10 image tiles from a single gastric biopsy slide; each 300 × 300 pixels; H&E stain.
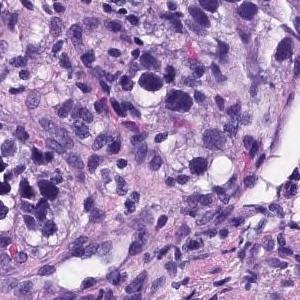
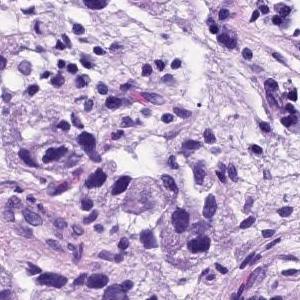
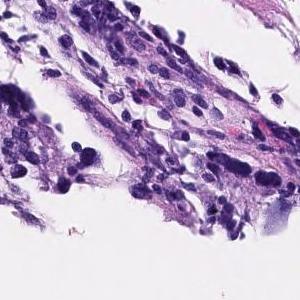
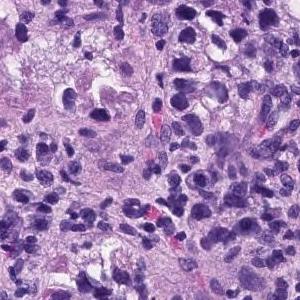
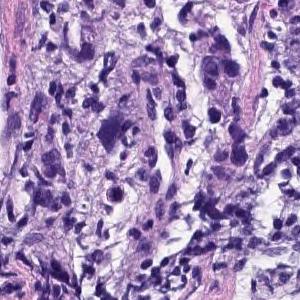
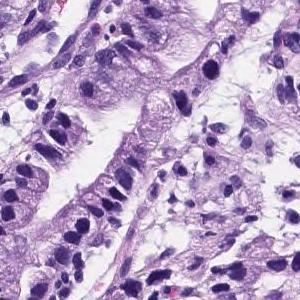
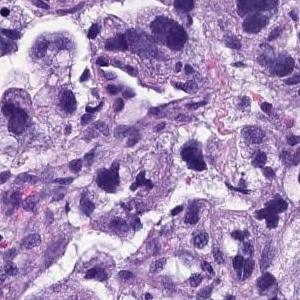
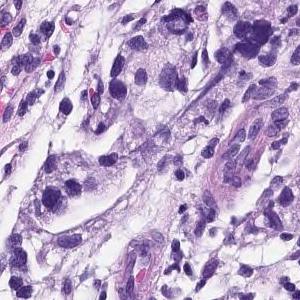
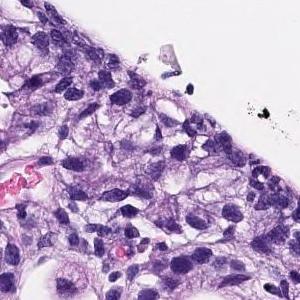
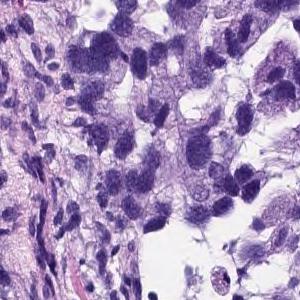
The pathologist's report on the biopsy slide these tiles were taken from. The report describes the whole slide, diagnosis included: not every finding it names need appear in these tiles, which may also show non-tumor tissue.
Medium to small, irregular glandular ducts are formed in the superficial epithelium, and in some cases, the glandular ducts are fused to show solid alveolar lesions and infiltrating tumor tissue is observed. Poorly differentiated adenocarcinoma, Moderately differentiated adenocarcinoma.
Dataset label: moderately differentiated tubular adenocarcinoma.
